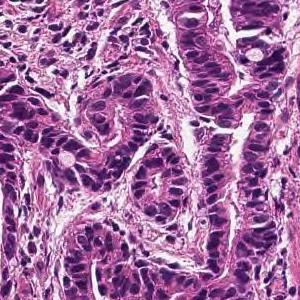
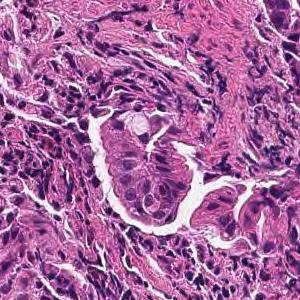
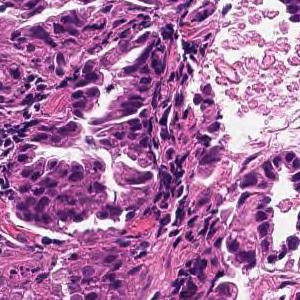
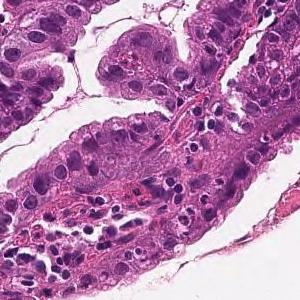
4 tiles cut from one stomach biopsy slide, 300×300 px each, 20× magnification, hematoxylin and eosin stain.
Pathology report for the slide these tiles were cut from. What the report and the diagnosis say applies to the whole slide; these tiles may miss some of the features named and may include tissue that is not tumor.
From the superficial epithelium to the muscularis mucosae, tumor tissue consisting of medium-sized and irregular glandular ducts infiltrating is observed. Well differentiated tubular adenocarcinoma
